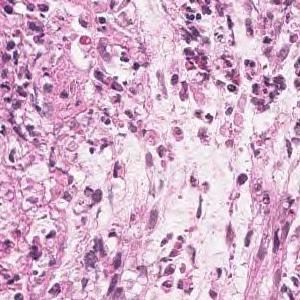
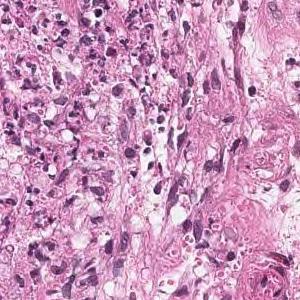
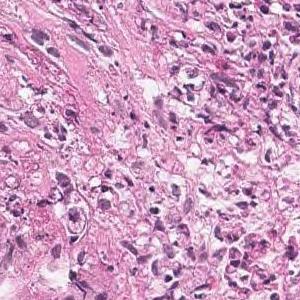
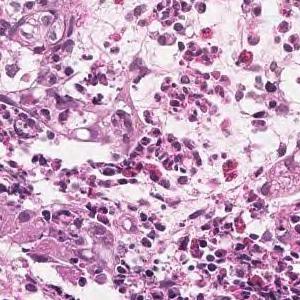
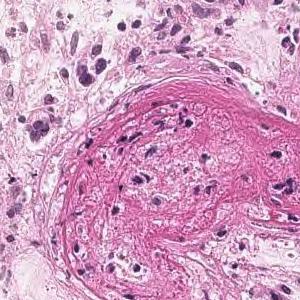
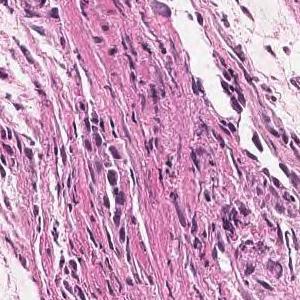
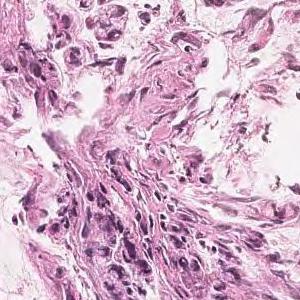
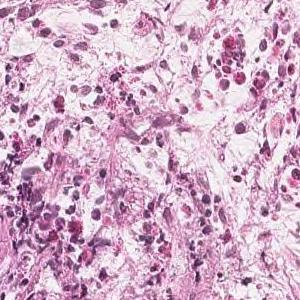
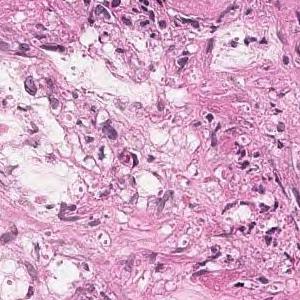
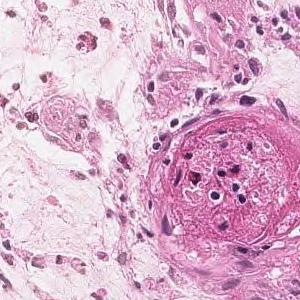
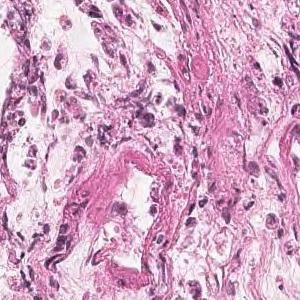
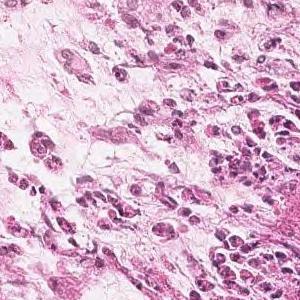
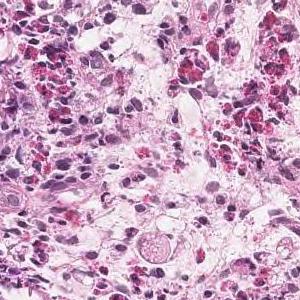
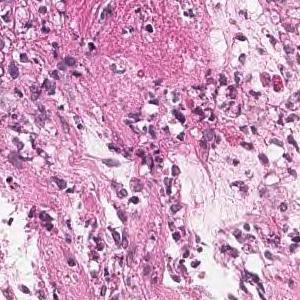
14 tiles cut from one stomach biopsy slide, hematoxylin and eosin stain.
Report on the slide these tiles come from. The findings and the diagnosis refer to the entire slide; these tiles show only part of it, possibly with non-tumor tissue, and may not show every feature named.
Tumor tissue is observed in which atypical epithelial cells with mucus in the vesicles proliferate while being isolated. Signet ring cell carcinoma
